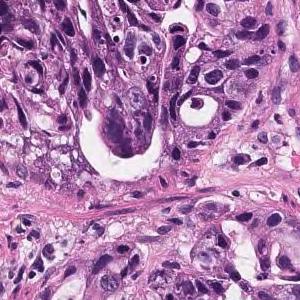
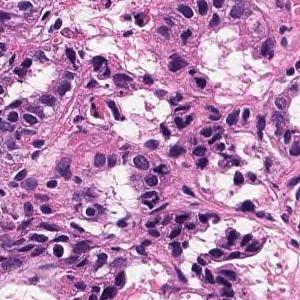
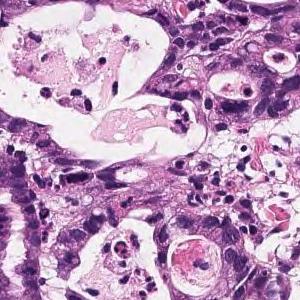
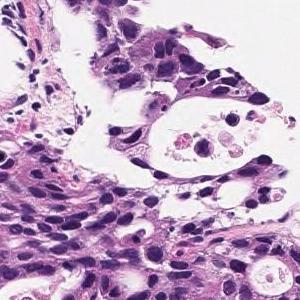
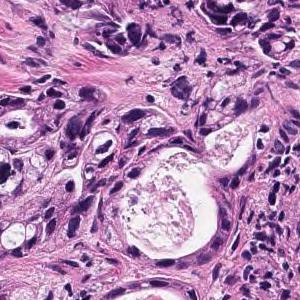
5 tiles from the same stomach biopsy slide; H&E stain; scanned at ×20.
Diagnostic report for the slide these tiles come from. The findings and the diagnosis refer to the entire slide; these tiles show only part of it, possibly with non-tumor tissue, and may not show every feature named.
In the superficial epithelium, tumor tissue that invades by forming medium-sized to small, irregular ducts is observed. Moderately differentiated adenocarcinoma.
Subtype: Moderately differentiated tubular adenocarcinoma.
